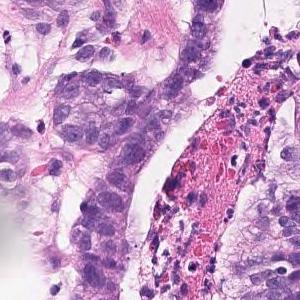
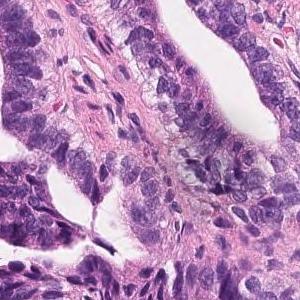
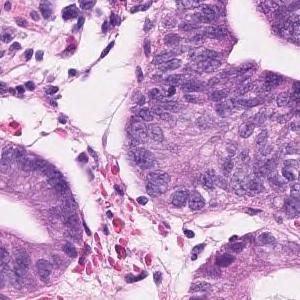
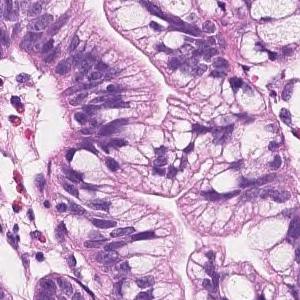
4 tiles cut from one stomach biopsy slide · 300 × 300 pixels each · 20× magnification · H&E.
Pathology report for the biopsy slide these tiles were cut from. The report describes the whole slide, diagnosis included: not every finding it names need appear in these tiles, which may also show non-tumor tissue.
Tumor cells are large, highly columnar, large club-shaped nuclei, and are associated with chromatin aggregation. Papillary adenocarcinoma.
